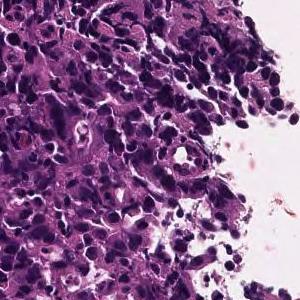
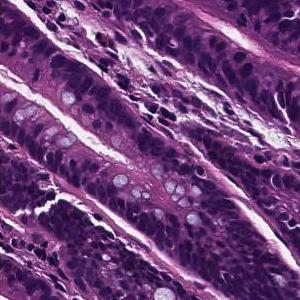
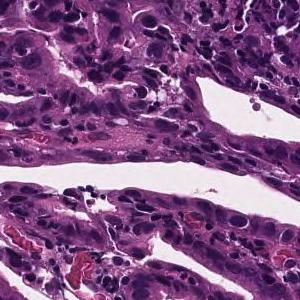
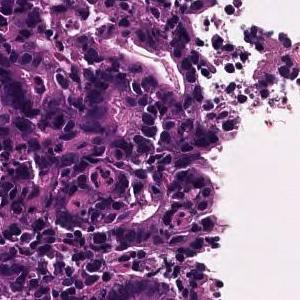
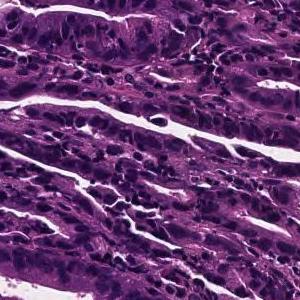
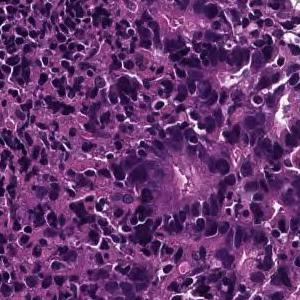
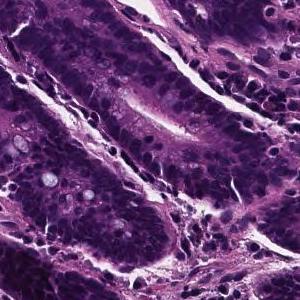
H&E, scanned at ×20, 7 tiles from the same stomach biopsy slide, 300 × 300 pixels each.
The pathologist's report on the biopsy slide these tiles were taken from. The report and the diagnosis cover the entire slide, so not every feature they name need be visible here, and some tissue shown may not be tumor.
On the superficial epithelium, tumor tissue consisting of medium-sized irregular glandular ducts partially fused and infiltrated is observed. Well to moderately differentiated tubular adenocarcinoma (well differentiated tubular adenocarcinoma-moderately differentiated tubular adenocarcinoma)
Tumor subtype: well to moderately differentiated tubular adenocarcinoma.
